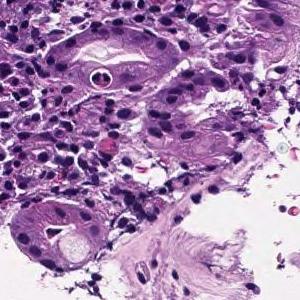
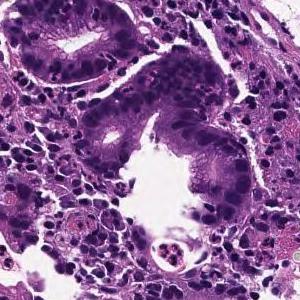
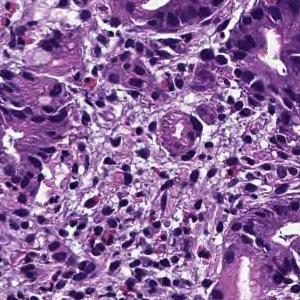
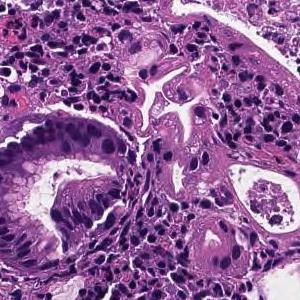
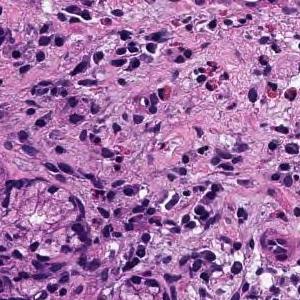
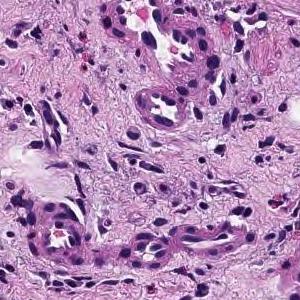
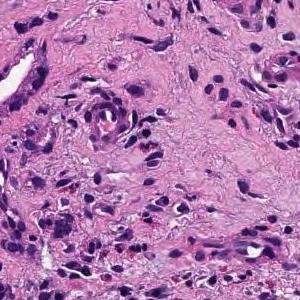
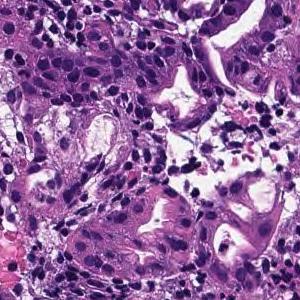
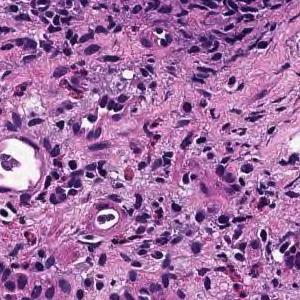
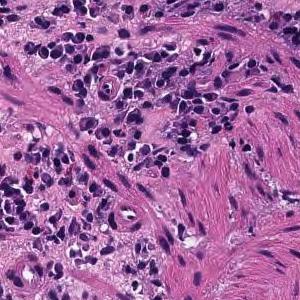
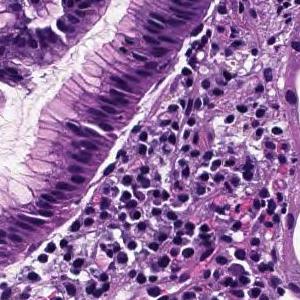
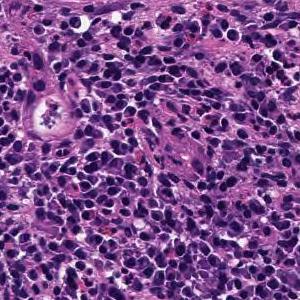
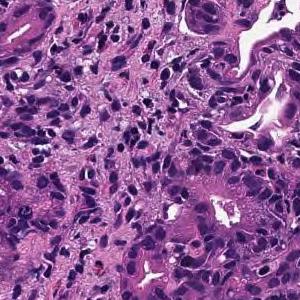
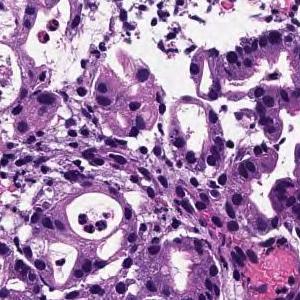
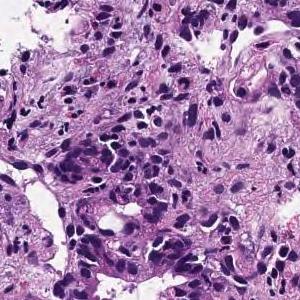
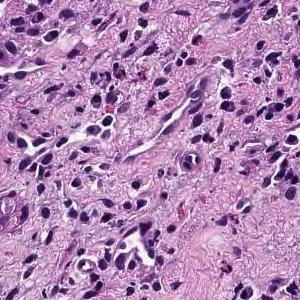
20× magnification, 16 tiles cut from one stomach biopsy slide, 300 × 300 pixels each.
Diagnostic report for the slide these tiles come from. The findings and the diagnosis refer to the entire slide; these tiles show only part of it, possibly with non-tumor tissue, and may not show every feature named.
In the superficial epithelium, tumor tissue that invades by forming medium-sized to small, irregular ducts is observed. moderately differentiated tubular adenocarcinoma.
